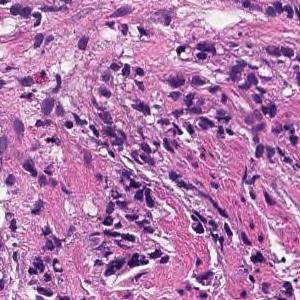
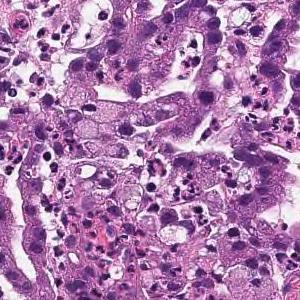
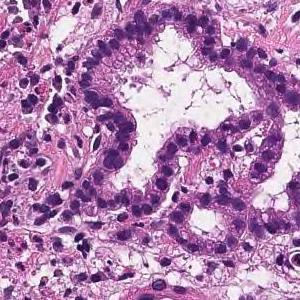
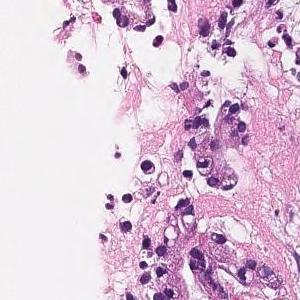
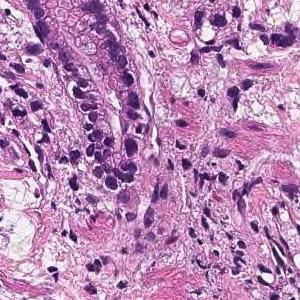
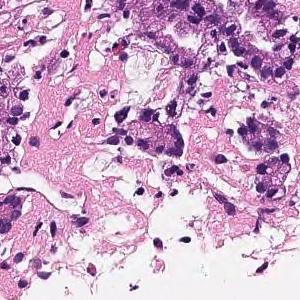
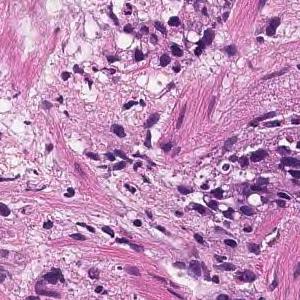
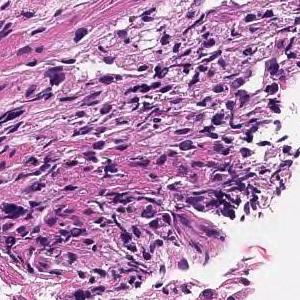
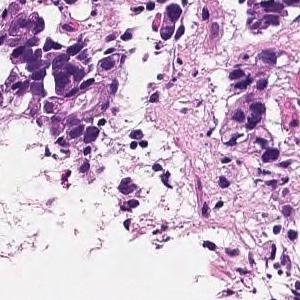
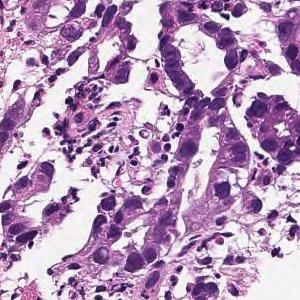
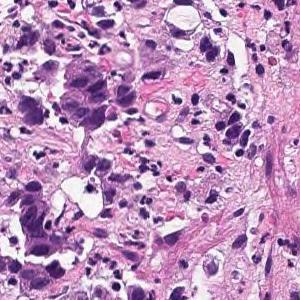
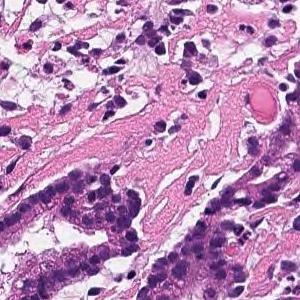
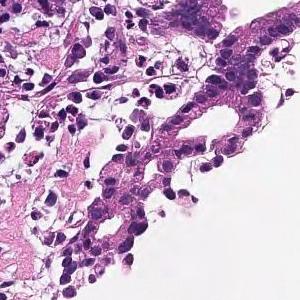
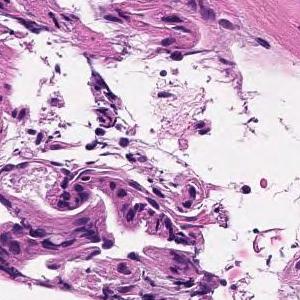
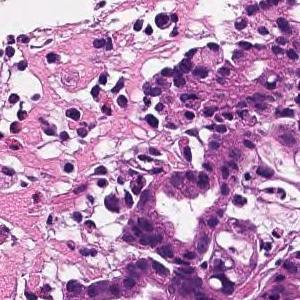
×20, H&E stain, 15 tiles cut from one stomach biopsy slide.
Diagnostic report for the slide these tiles come from. The findings and the diagnosis refer to the entire slide; these tiles show only part of it, possibly with non-tumor tissue, and may not show every feature named.
In the superficial epithelium, tumor tissue that invades by forming medium-sized to small, irregular ducts is observed. moderately differentiated tubular adenocarcinoma.
